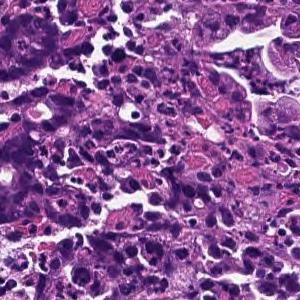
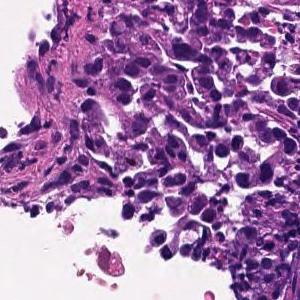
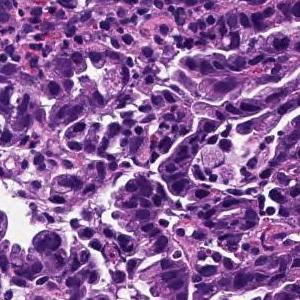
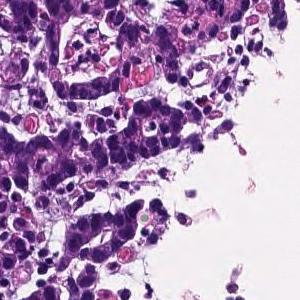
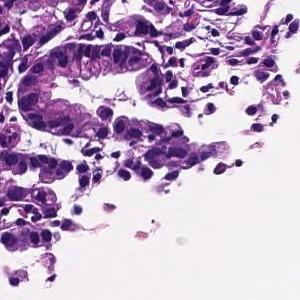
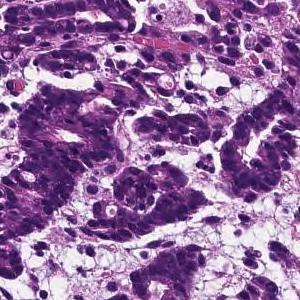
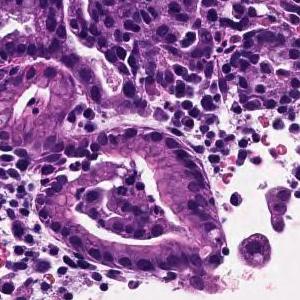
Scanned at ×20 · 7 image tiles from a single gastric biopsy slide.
Report on the slide these tiles come from. Both the report and the diagnosis are for the whole slide: these tiles need not show every feature named, and some of the tissue shown may not be tumor.
In the superficial epithelium, tumor tissue that invades by forming medium-sized to small, irregular ducts is observed. moderately differentiated tubular adenocarcinoma.
